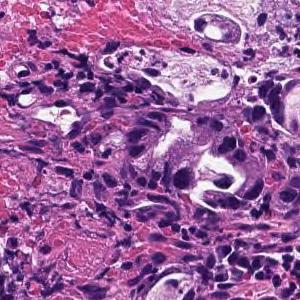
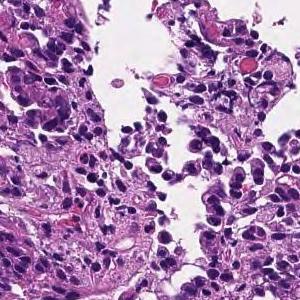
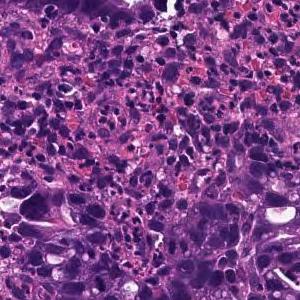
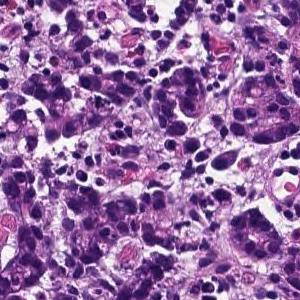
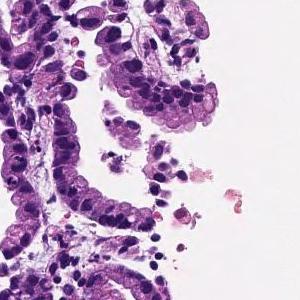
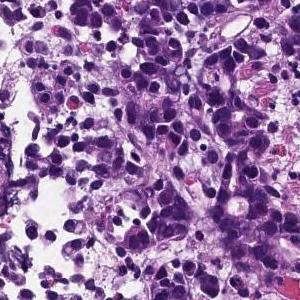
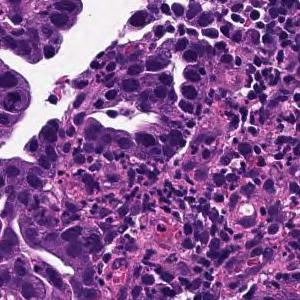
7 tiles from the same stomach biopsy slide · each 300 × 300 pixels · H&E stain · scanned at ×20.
The pathologist's report on the biopsy slide these tiles were taken from. What the report and the diagnosis say applies to the whole slide; these tiles may miss some of the features named and may include tissue that is not tumor.
In the superficial epithelium, tumor tissue that invades by forming medium-sized to small, irregular ducts is observed. moderately differentiated tubular adenocarcinoma.
